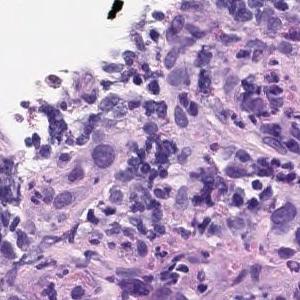
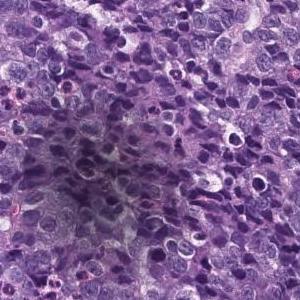
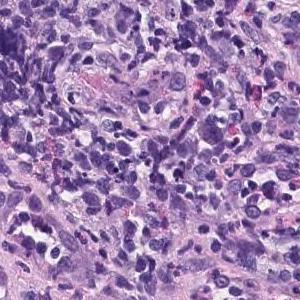
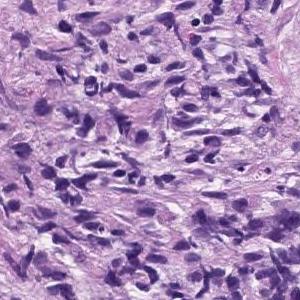
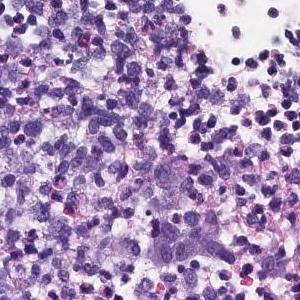
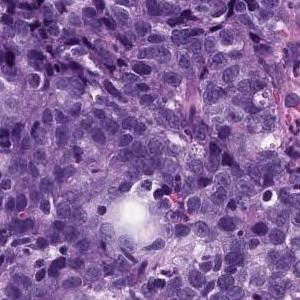
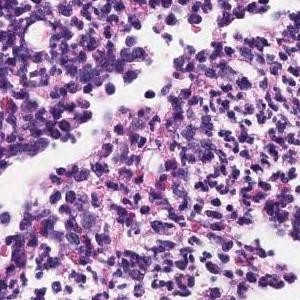
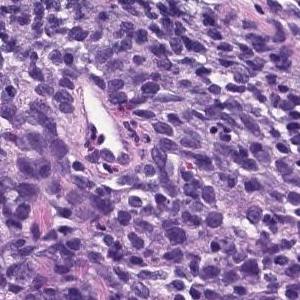
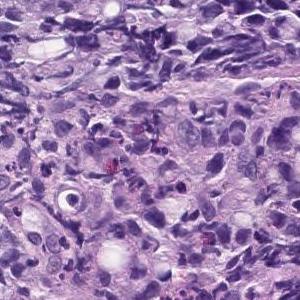
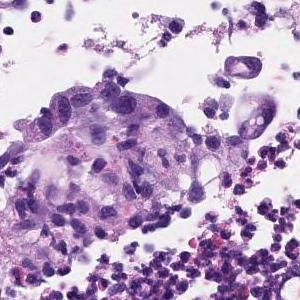
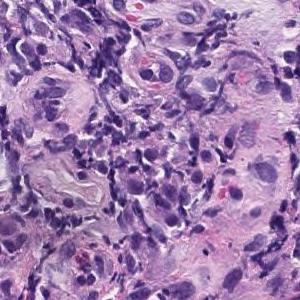
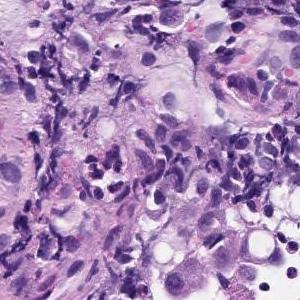
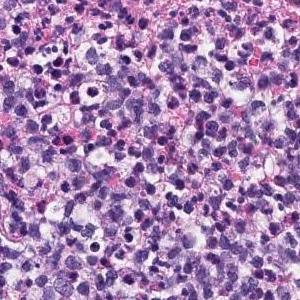
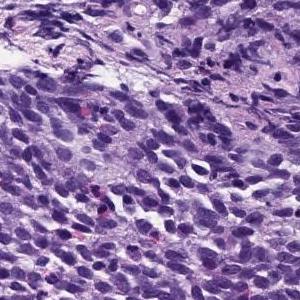
Hematoxylin and eosin stain; 14 patches cut from one gastric biopsy slide.
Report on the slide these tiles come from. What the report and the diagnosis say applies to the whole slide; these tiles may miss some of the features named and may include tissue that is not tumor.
The superficial epithelium shows a large sheet-like shape, and some tumor tissue infiltrates with small irregular ducts. Poorly differentiated adenocarcinoma, solid-type
Histologic type: Poorly differentiated adenocarcinoma, solid type. This name comes from the Japanese Classification of Gastric Carcinoma; the WHO 2019 classification calls it tubular adenocarcinoma, poorly differentiated.
